6 tiles cut from one stomach biopsy slide; 20× magnification; H&E.
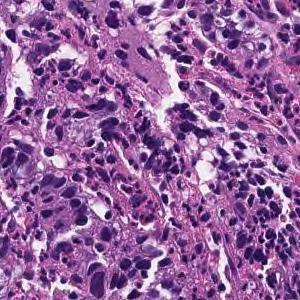
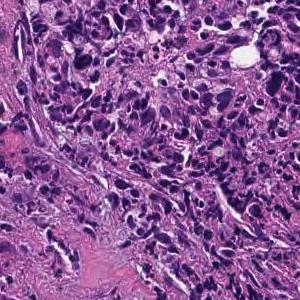
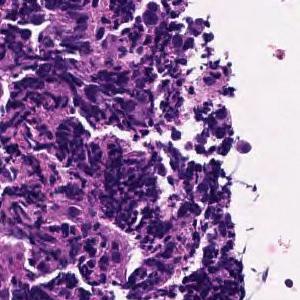
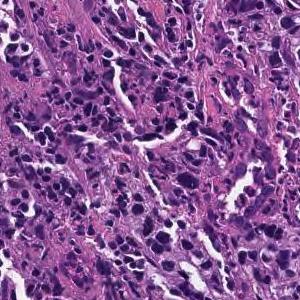
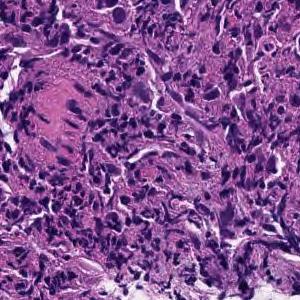
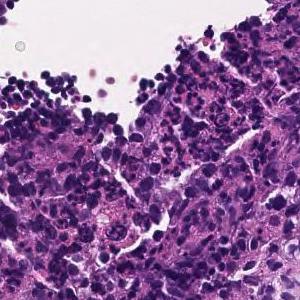
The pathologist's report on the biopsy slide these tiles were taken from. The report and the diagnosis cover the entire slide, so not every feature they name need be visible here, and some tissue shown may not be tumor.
Tumor tissue consisting of cord-like or small, irregular glandular ducts fused and infiltrated is observed in the superficial epithelium. Poorly differentiated adenocarcinoma, non-solid type
The term "non-solid type" comes from the Japanese Classification of Gastric Carcinoma.
